16 tiles from the same stomach biopsy slide; 300 × 300 pixels each.
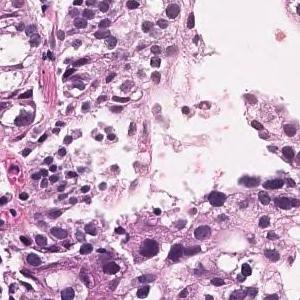
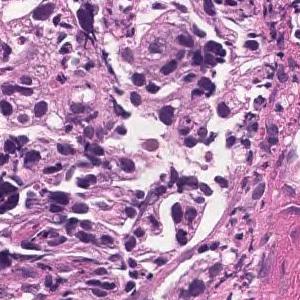
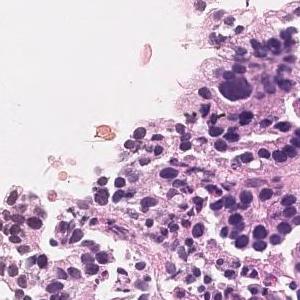
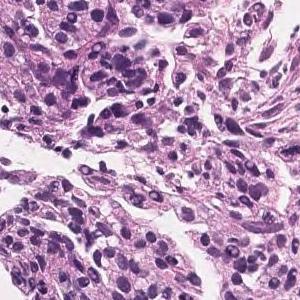
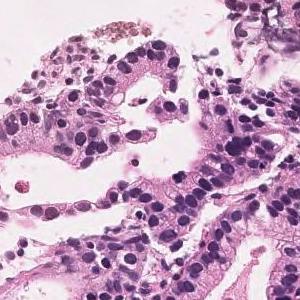
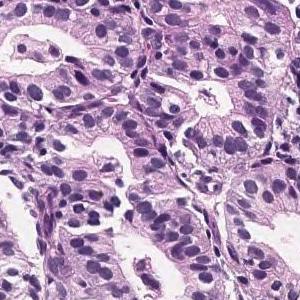
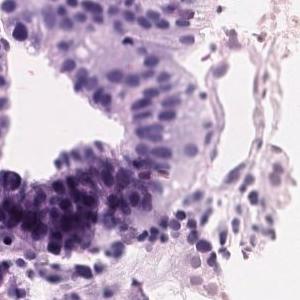
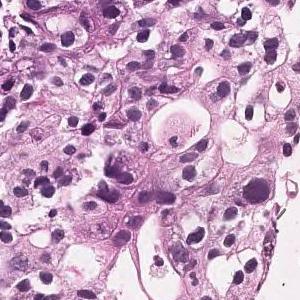
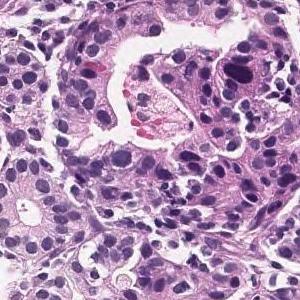
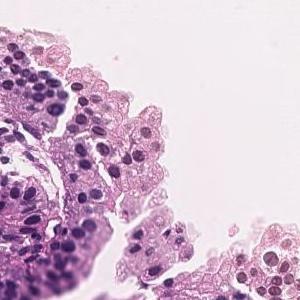
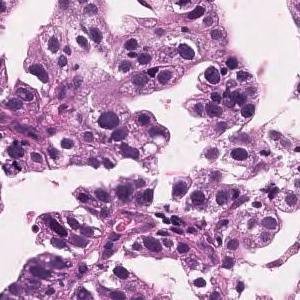
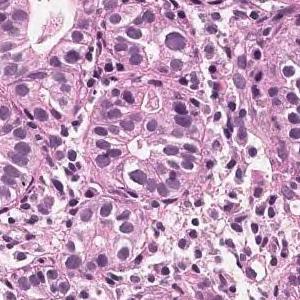
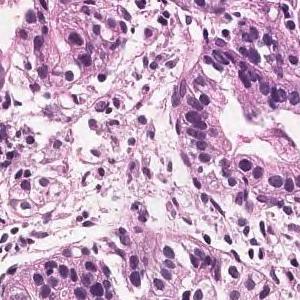
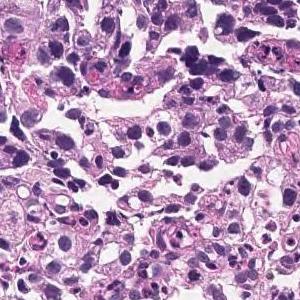
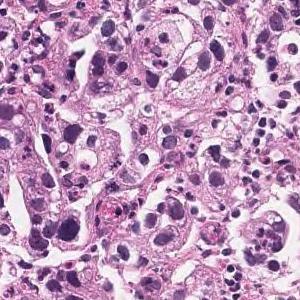
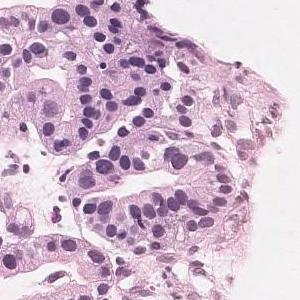
Diagnostic report for the slide these tiles come from. The findings and the diagnosis refer to the entire slide; these tiles show only part of it, possibly with non-tumor tissue, and may not show every feature named.
In the superficial epithelium, tumor tissue that invades by forming medium-sized to small, irregular ducts is observed. moderately differentiated tubular adenocarcinoma.
